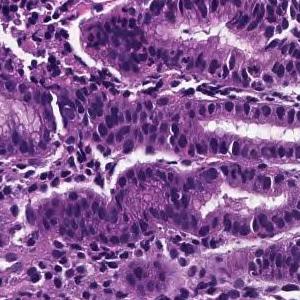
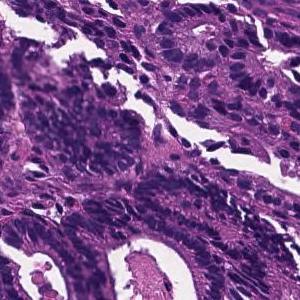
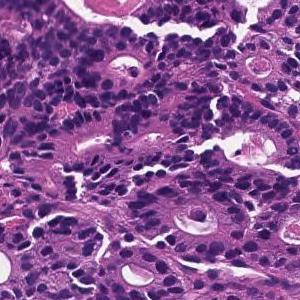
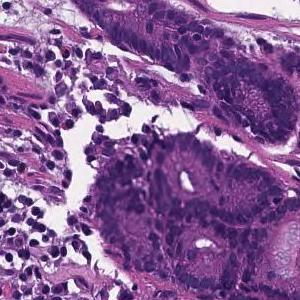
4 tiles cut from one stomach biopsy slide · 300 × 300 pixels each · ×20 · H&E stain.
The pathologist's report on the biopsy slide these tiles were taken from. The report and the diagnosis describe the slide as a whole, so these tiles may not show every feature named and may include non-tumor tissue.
From the superficial epithelium to the muscularis mucosae, tumor tissue consisting of medium-sized and irregular glandular ducts infiltrating is observed. Well differentiated tubular adenocarcinoma
